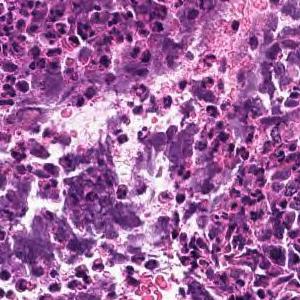
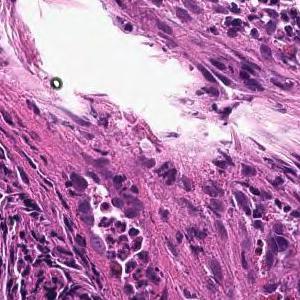
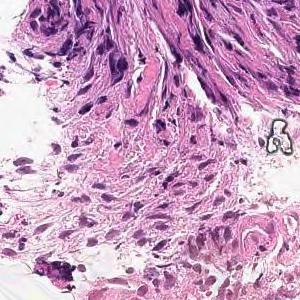
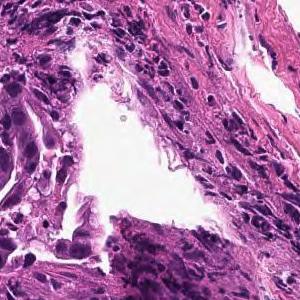
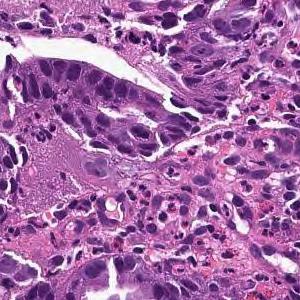
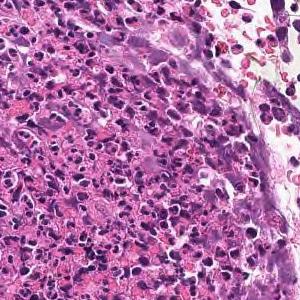
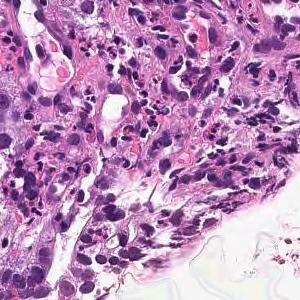
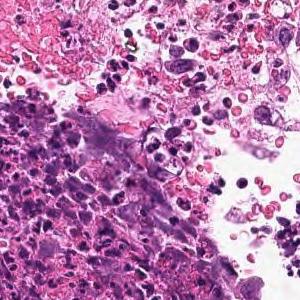
8 tiles from the same stomach biopsy slide; 300 × 300 pixels each.
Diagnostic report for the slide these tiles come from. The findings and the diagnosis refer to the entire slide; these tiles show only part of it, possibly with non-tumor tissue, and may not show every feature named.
In the superficial epithelium, tumor tissue that invades by forming medium-sized to small, irregular ducts is observed. moderately differentiated tubular adenocarcinoma.
